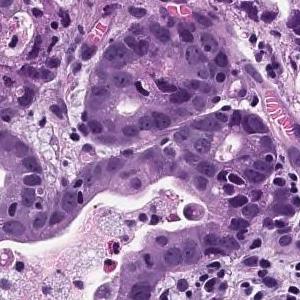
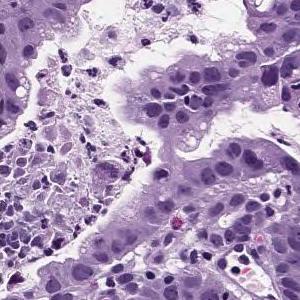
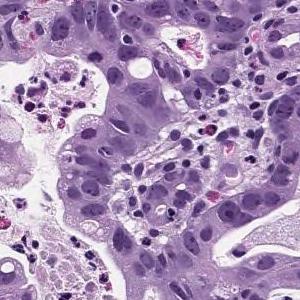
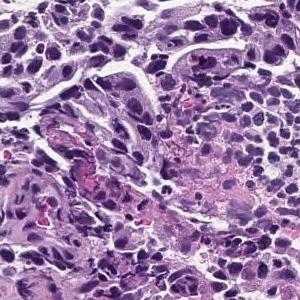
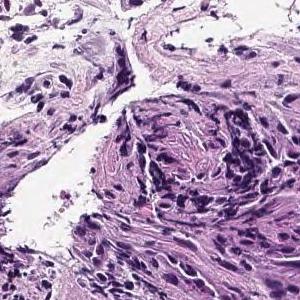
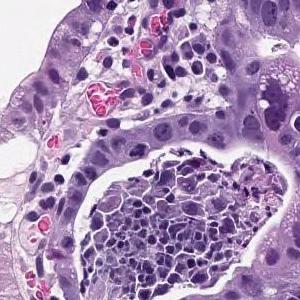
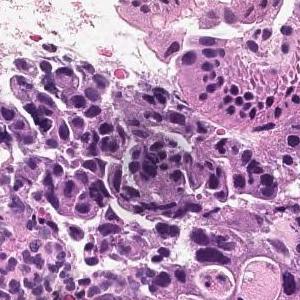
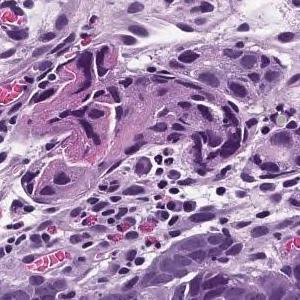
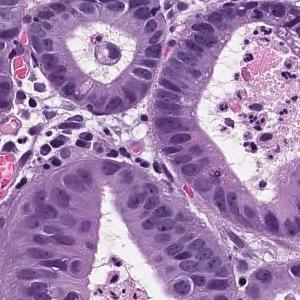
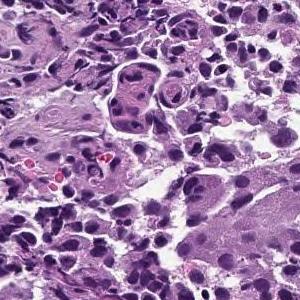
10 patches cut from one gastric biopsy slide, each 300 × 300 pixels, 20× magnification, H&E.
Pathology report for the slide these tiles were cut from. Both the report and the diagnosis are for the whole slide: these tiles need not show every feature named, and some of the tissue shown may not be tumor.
Tumor cells are large, highly columnar, large club-shaped nuclei, and are associated with chromatin aggregation. Papillary adenocarcinoma.
